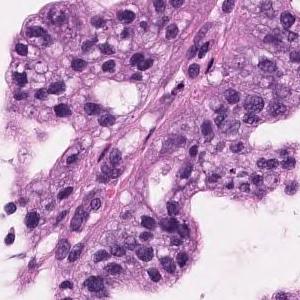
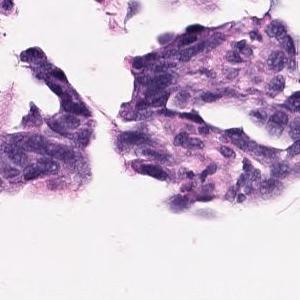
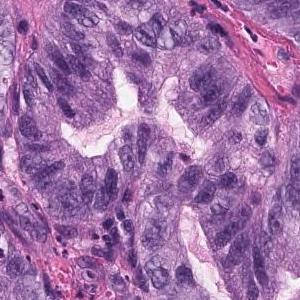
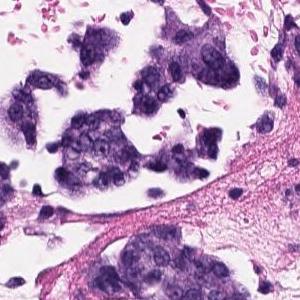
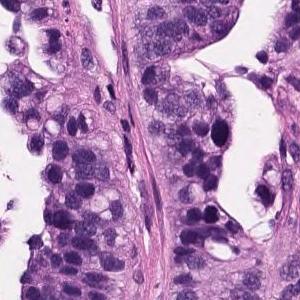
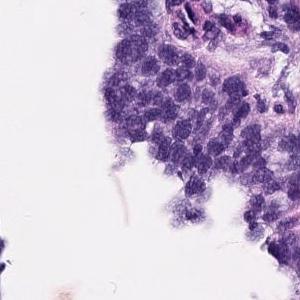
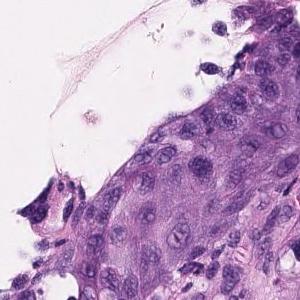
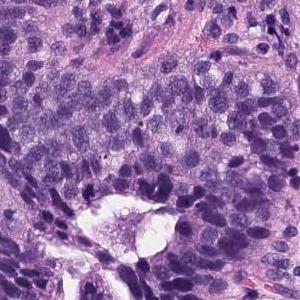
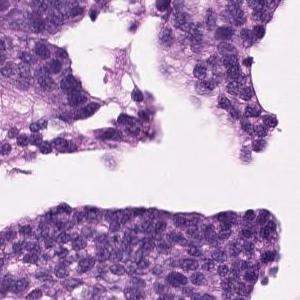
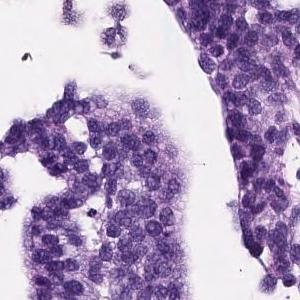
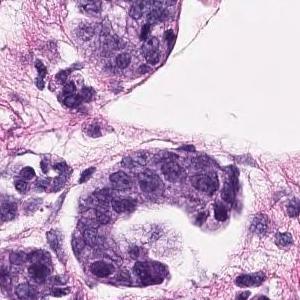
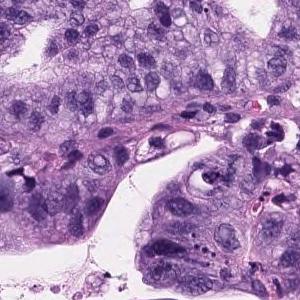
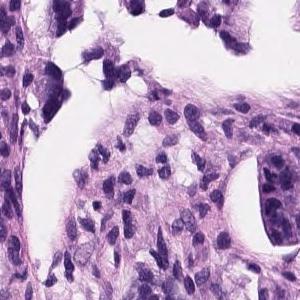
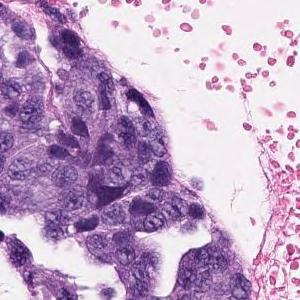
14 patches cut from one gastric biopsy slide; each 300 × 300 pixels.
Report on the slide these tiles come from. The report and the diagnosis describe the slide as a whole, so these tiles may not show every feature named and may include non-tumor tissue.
Tumor cells are large, highly columnar, large club-shaped nuclei, and are associated with chromatin aggregation. Papillary adenocarcinoma.
